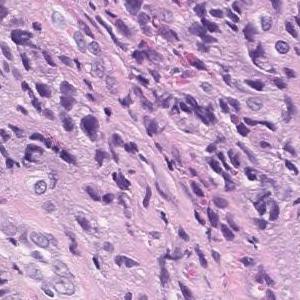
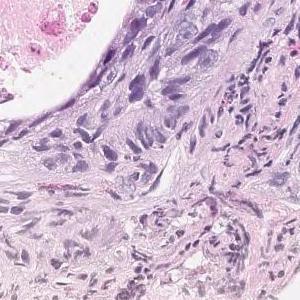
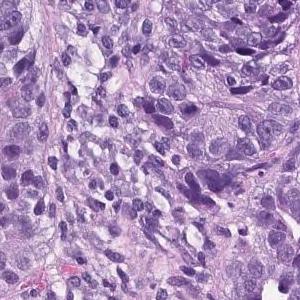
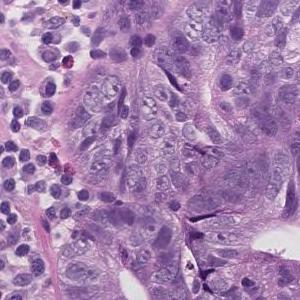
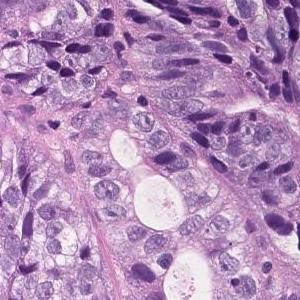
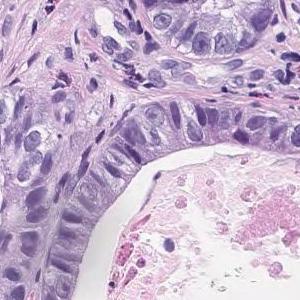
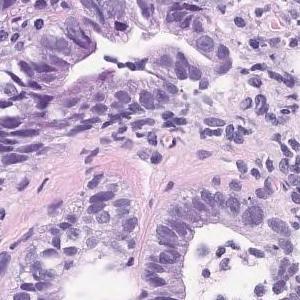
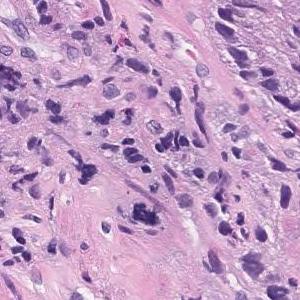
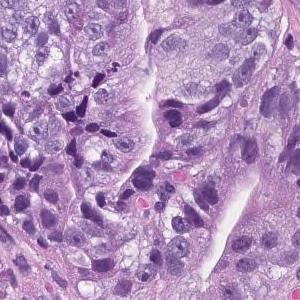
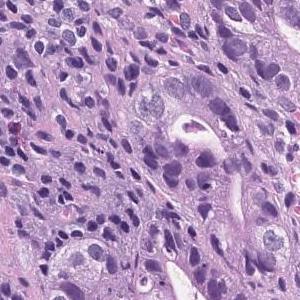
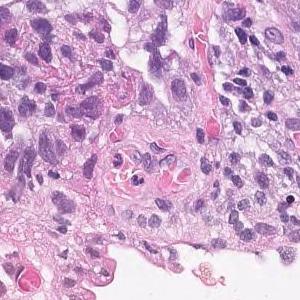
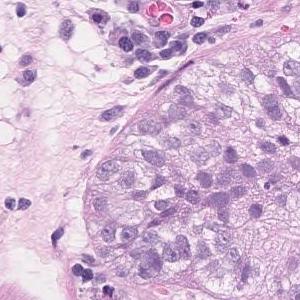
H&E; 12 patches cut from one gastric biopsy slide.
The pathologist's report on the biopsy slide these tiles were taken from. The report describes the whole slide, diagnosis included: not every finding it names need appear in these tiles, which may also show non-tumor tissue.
On the superficial epithelium, tumor tissue consisting of medium to small irregular tubules partially fused and proliferated is observed. moderately differentiated tubular adenocarcinoma
